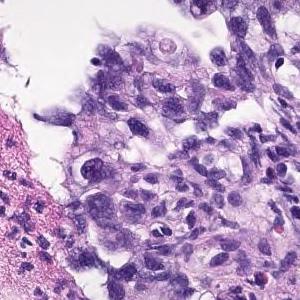
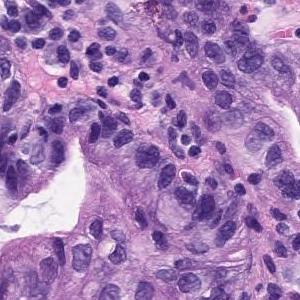
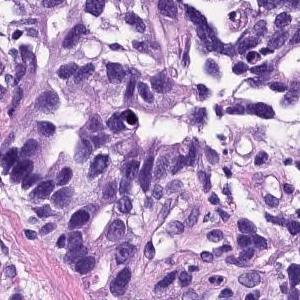
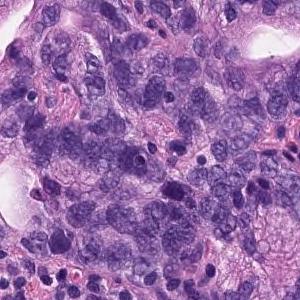
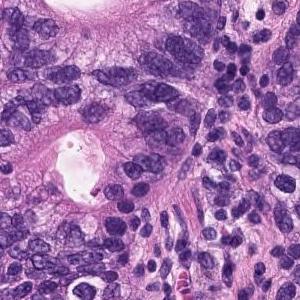
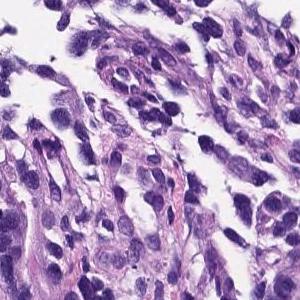
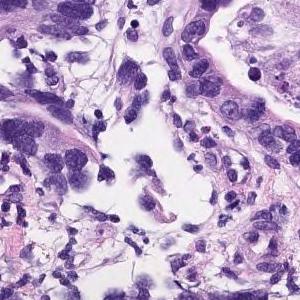
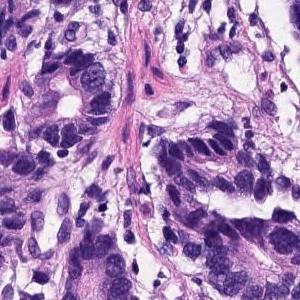
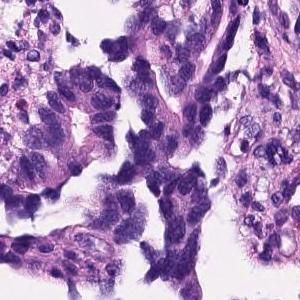
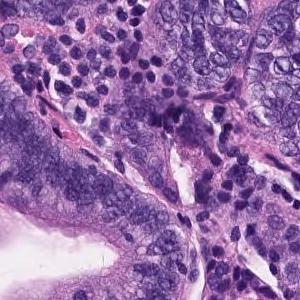
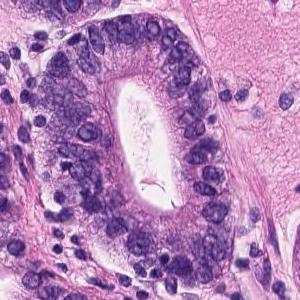
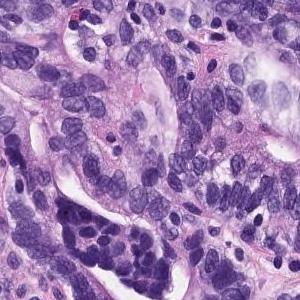
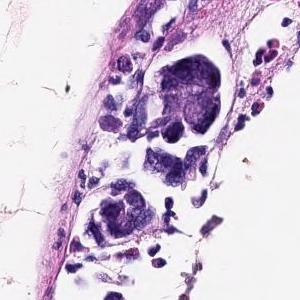
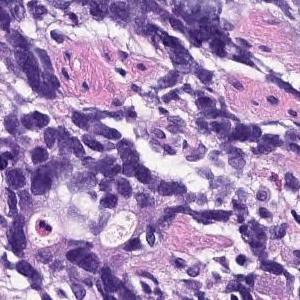
14 tiles from the same stomach biopsy slide, each 300 × 300 pixels.
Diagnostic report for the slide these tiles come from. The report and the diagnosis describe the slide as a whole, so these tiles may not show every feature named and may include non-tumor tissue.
On the superficial epithelium, tumor tissue consisting of images showing invasive growth with small, irregular tubules partially fused is observed. moderately differentiated tubular adenocarcinoma
